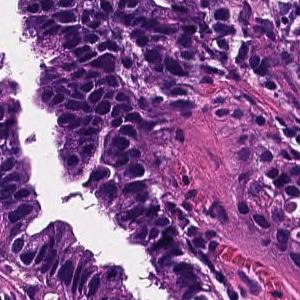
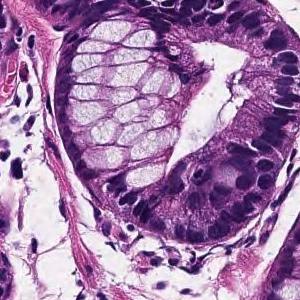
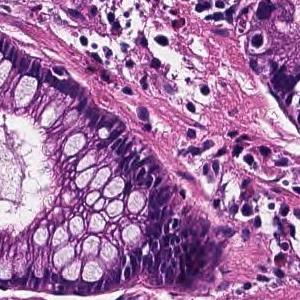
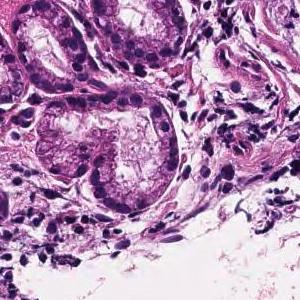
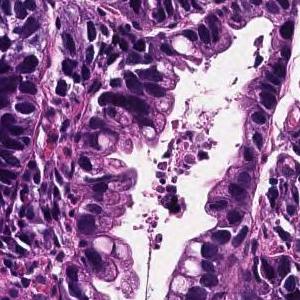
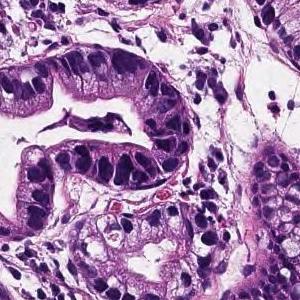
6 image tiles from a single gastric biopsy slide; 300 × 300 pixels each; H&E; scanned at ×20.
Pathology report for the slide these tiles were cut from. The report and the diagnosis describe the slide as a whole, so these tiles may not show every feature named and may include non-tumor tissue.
Tumor cells are large, highly columnar, large club-shaped nuclei, and are associated with chromatin aggregation. Papillary adenocarcinoma.
